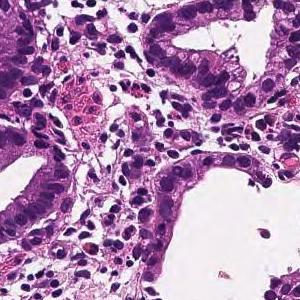
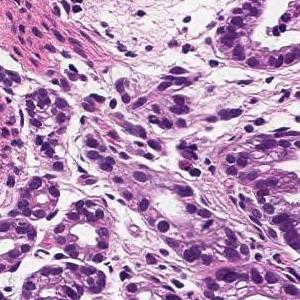
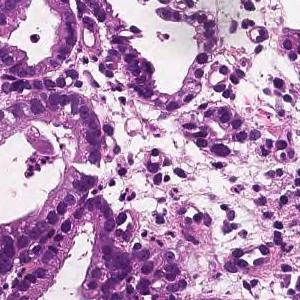
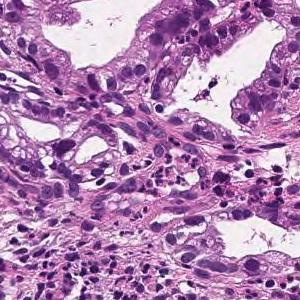
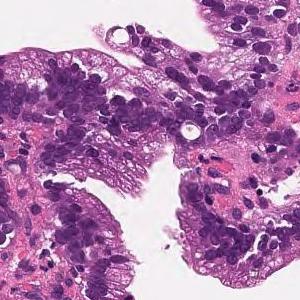
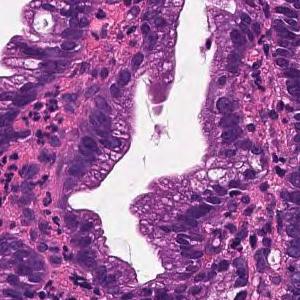
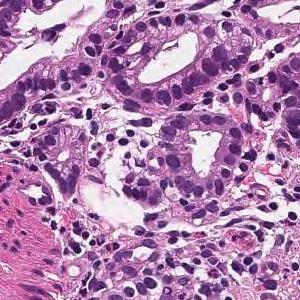
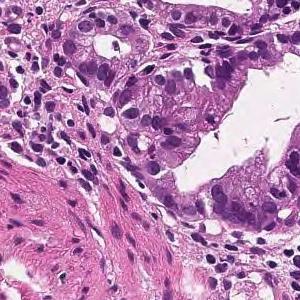
8 image tiles from a single gastric biopsy slide · ×20.
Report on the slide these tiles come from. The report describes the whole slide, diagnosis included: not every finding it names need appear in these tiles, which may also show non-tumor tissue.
On the superficial epithelium, tumor tissue that infiltrates by forming medium-sized papillary or small irregular ducts is observed. Papillary adenocarcinoma
